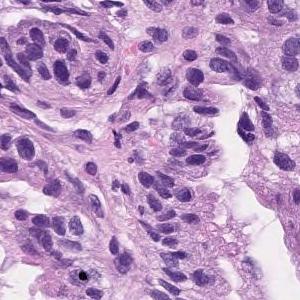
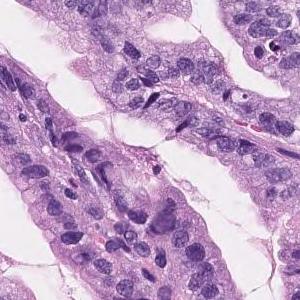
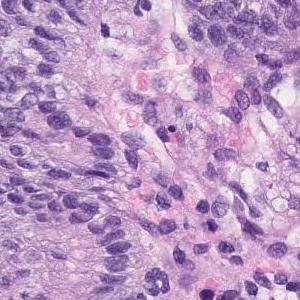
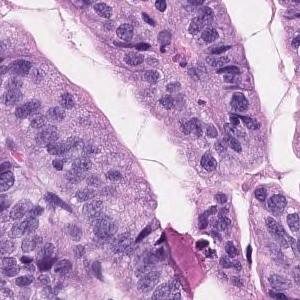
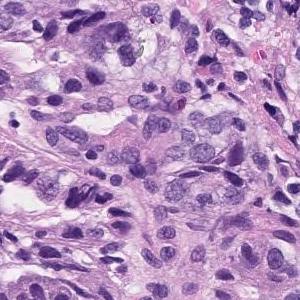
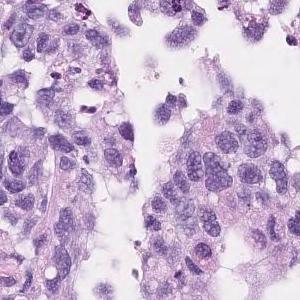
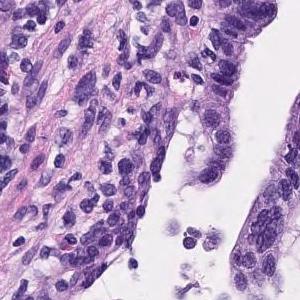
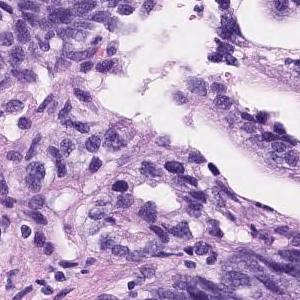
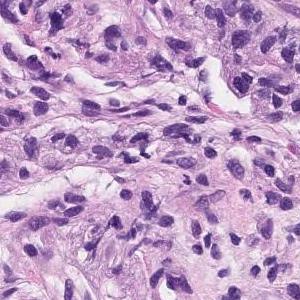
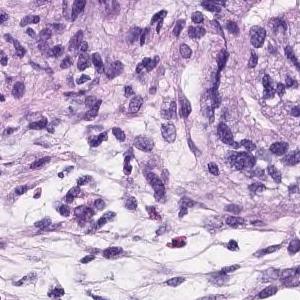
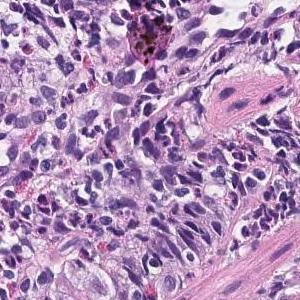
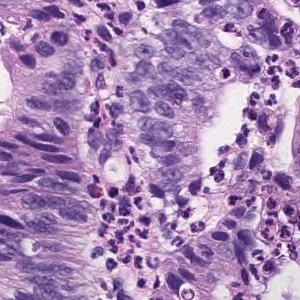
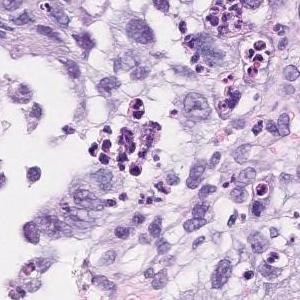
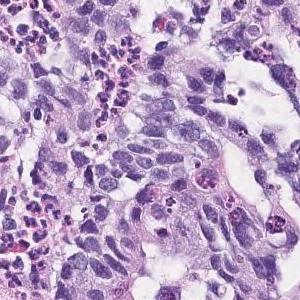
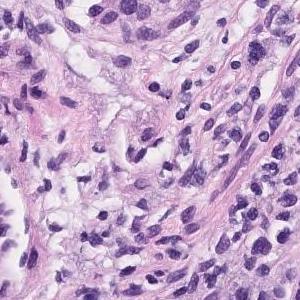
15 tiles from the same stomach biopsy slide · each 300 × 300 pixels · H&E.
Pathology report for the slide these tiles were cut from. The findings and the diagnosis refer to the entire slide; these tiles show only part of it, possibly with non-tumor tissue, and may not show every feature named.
Tumor cells are large, highly columnar, large club-shaped nuclei, and are associated with chromatin aggregation. Papillary adenocarcinoma.
